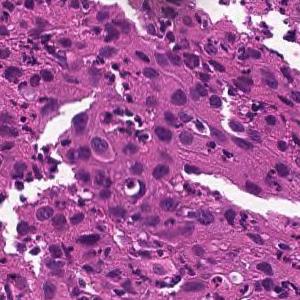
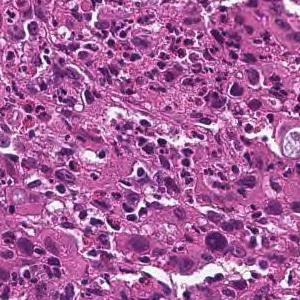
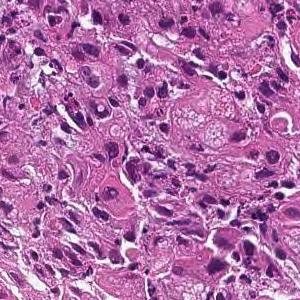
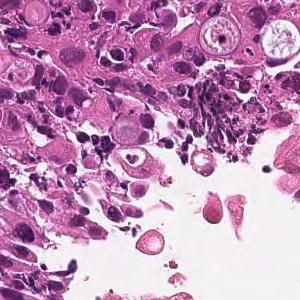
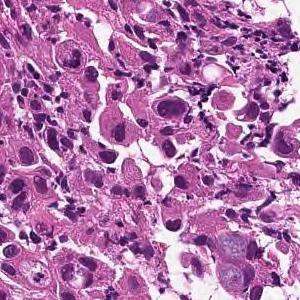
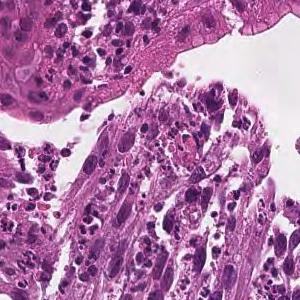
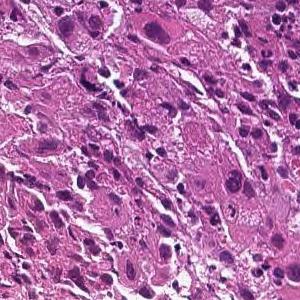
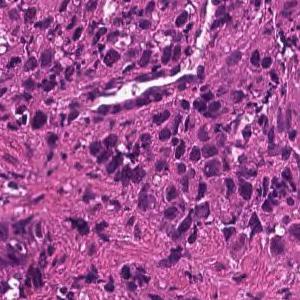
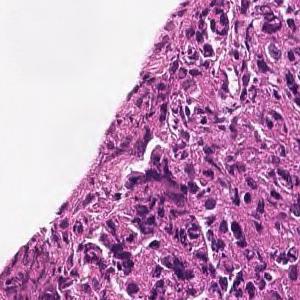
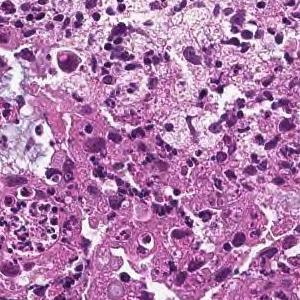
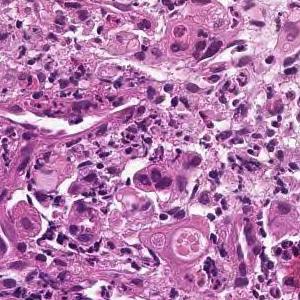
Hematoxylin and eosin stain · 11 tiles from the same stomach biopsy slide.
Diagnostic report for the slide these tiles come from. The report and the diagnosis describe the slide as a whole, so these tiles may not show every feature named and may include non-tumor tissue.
The superficial epithelium shows a large sheet-like shape, and some tumor tissue infiltrates with small irregular ducts. Poorly differentiated adenocarcinoma, solid-type
Histological subtype: Poorly differentiated adenocarcinoma, solid type (Japanese Classification of Gastric Carcinoma). The WHO 2019 equivalent is tubular adenocarcinoma, poorly differentiated.
